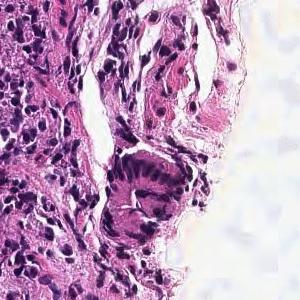
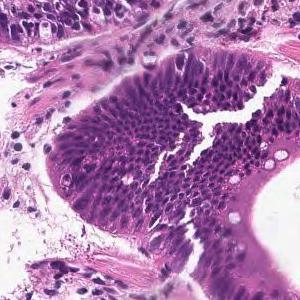
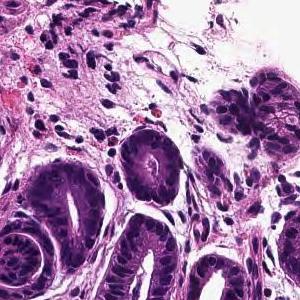
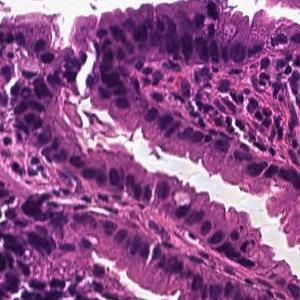
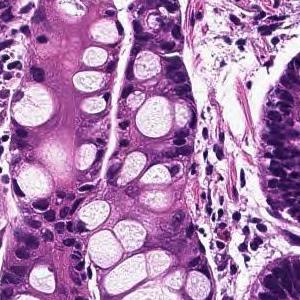
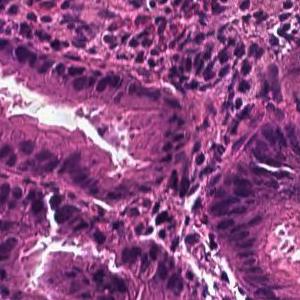
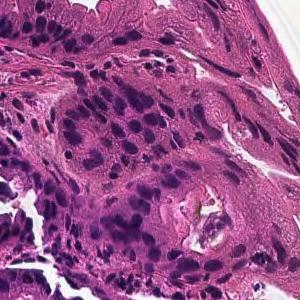
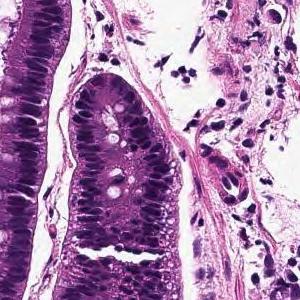
8 patches cut from one gastric biopsy slide; each 300 × 300 pixels.
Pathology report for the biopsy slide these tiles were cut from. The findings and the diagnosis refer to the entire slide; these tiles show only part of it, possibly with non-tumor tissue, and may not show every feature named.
From the superficial epithelium to the muscularis mucosae, tumor tissue consisting of medium-sized and irregular glandular ducts infiltrating is observed. Well differentiated tubular adenocarcinoma
